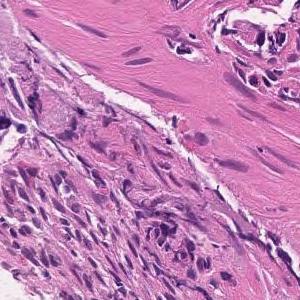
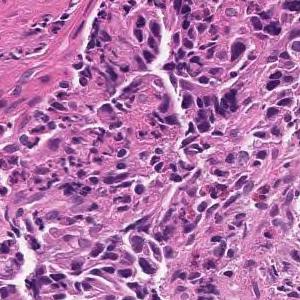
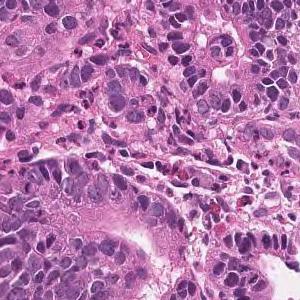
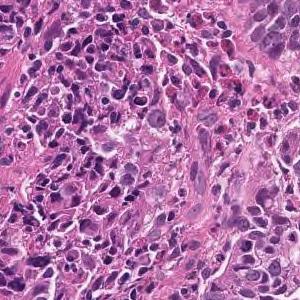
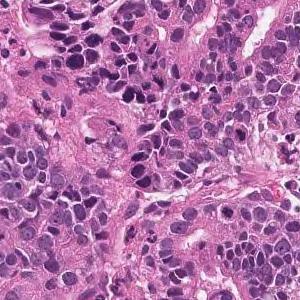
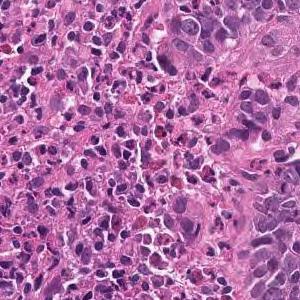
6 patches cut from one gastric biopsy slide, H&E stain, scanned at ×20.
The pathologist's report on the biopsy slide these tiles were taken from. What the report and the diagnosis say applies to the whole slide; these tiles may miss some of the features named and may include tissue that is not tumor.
Medium to small, irregular glandular ducts are formed in the superficial epithelium, and in some cases, the glandular ducts are fused to show solid alveolar lesions and infiltrating tumor tissue is observed. Moderately to poorly differentiated adenocarcinoma.
